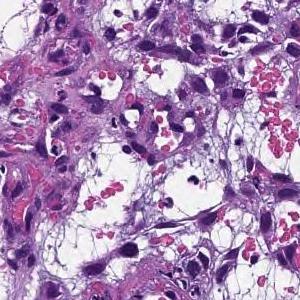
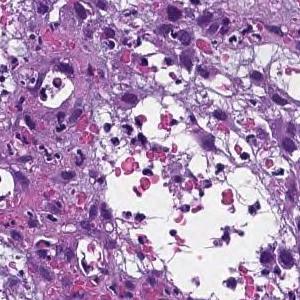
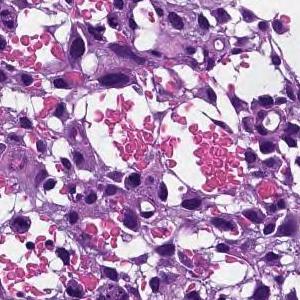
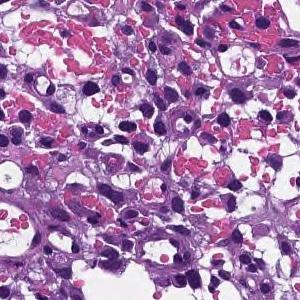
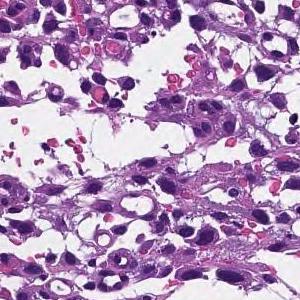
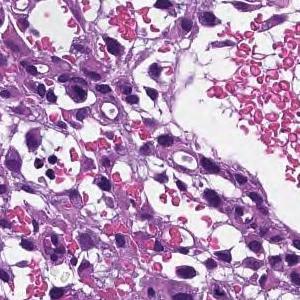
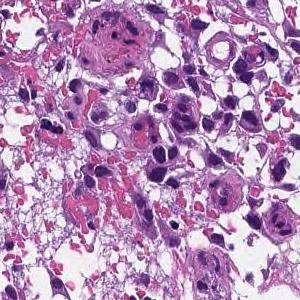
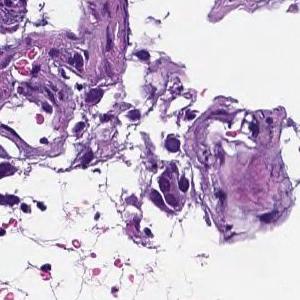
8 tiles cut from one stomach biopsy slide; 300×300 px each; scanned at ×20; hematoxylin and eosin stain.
Pathology report for the biopsy slide these tiles were cut from. What the report and the diagnosis say applies to the whole slide; these tiles may miss some of the features named and may include tissue that is not tumor.
Tumor tissue consisting of cord-like or small, irregular glandular ducts fused and infiltrated is observed in the superficial epithelium. Poorly differentiated adenocarcinoma, non-solid type
The non-solid type named here is a Japanese Classification of Gastric Carcinoma category.
